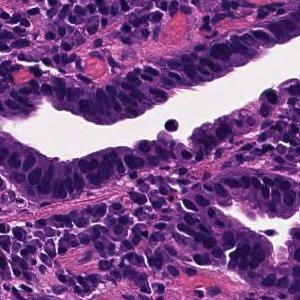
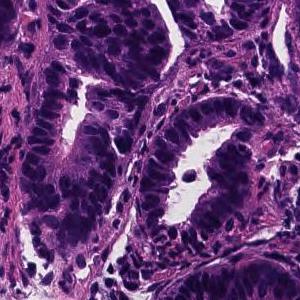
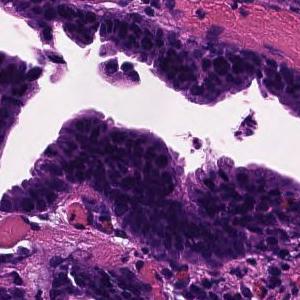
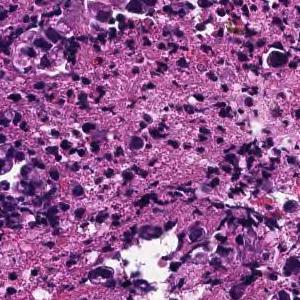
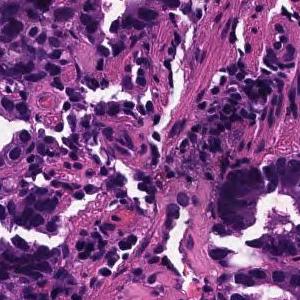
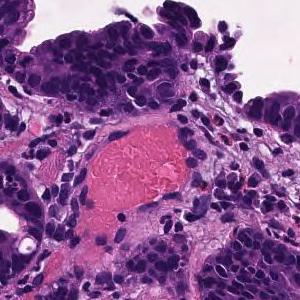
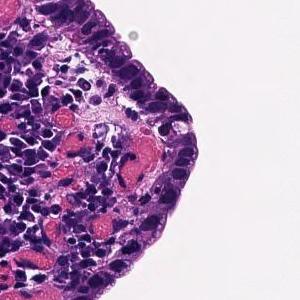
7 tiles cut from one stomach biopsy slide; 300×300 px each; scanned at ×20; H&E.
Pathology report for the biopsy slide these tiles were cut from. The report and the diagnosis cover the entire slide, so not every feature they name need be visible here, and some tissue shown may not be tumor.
On the superficial epithelium, tumor tissue that infiltrates by forming medium-sized papillary or small irregular ducts is observed. Papillary adenocarcinoma
